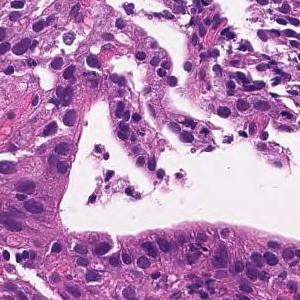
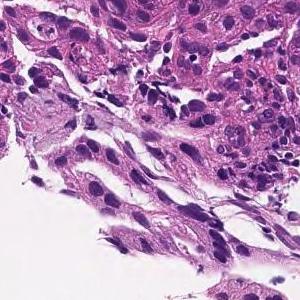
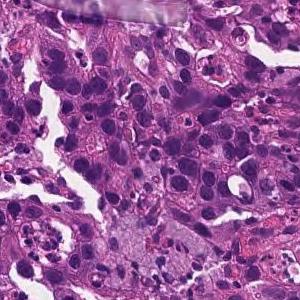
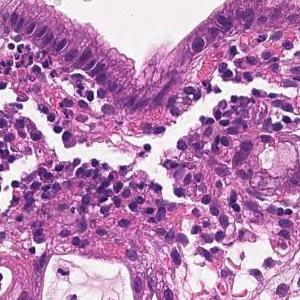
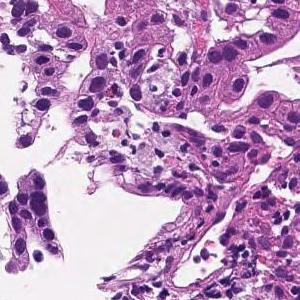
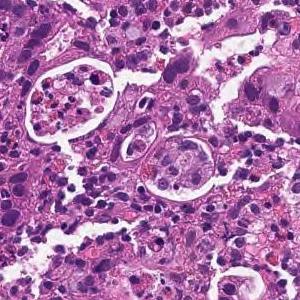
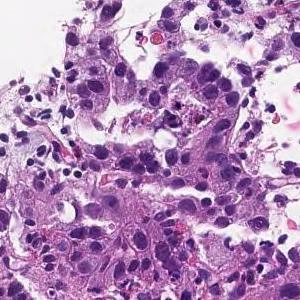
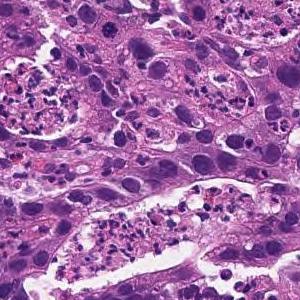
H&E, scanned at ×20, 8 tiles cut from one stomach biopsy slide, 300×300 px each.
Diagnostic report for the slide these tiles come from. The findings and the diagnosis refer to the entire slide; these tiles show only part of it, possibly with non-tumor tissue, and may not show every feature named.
Medium to small, irregular glandular ducts are formed in the superficial epithelium, and in some cases, the glandular ducts are fused to show solid alveolar lesions and infiltrating tumor tissue is observed. Moderately to poorly differentiated adenocarcinoma.
